13 tiles from the same stomach biopsy slide, H&E stain, scanned at ×20.
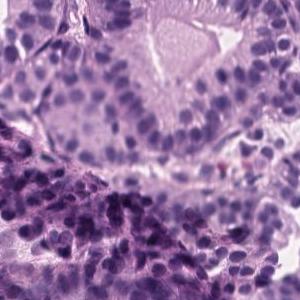
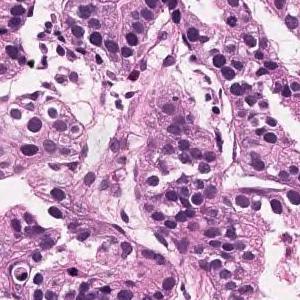
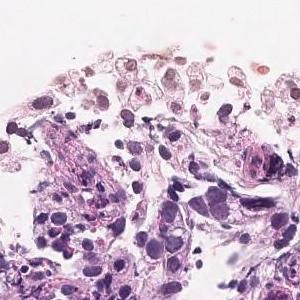
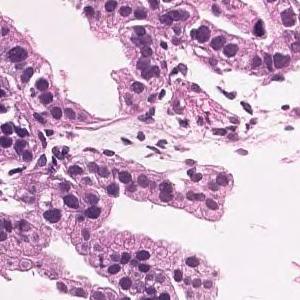
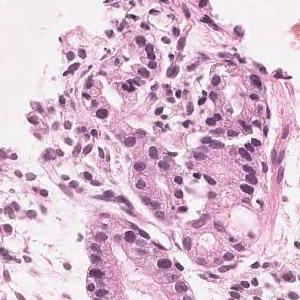
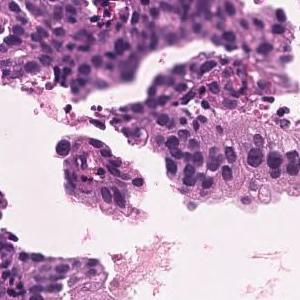
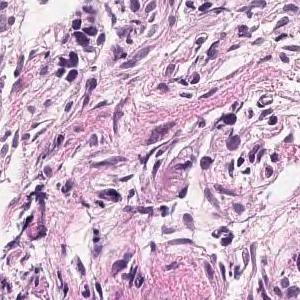
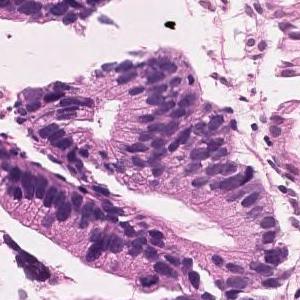
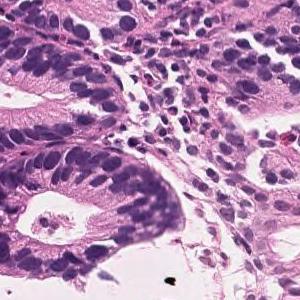
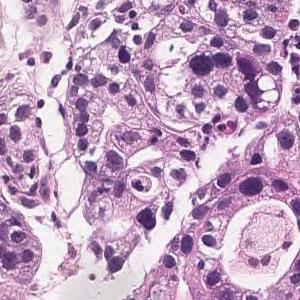
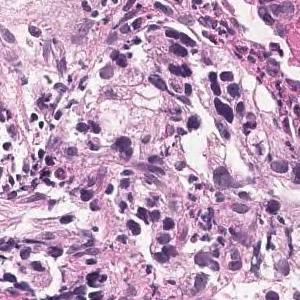
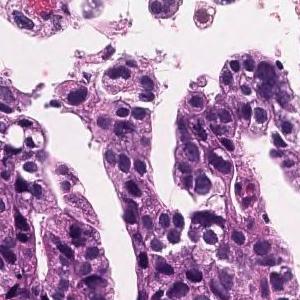
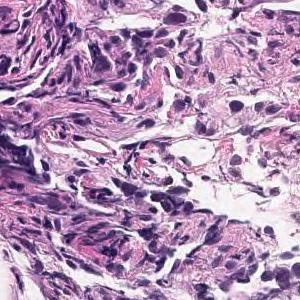
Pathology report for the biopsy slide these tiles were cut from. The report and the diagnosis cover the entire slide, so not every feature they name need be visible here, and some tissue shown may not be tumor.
In the superficial epithelium, tumor tissue that invades by forming medium-sized to small, irregular ducts is observed. moderately differentiated tubular adenocarcinoma.
